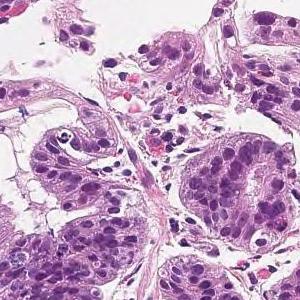
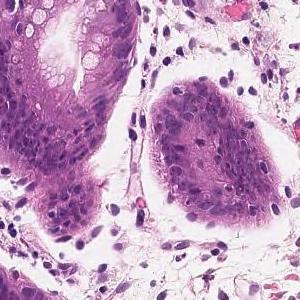
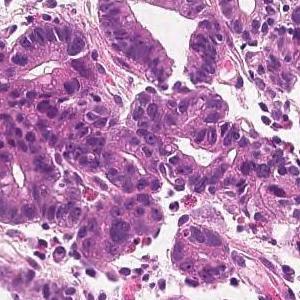
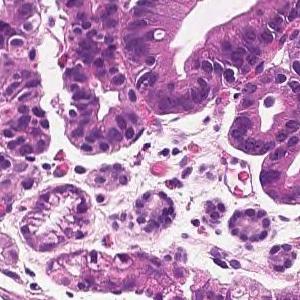
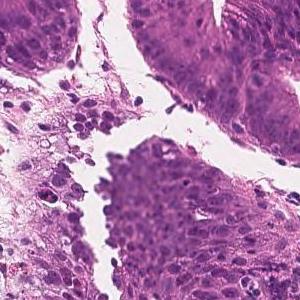
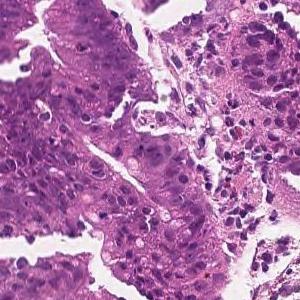
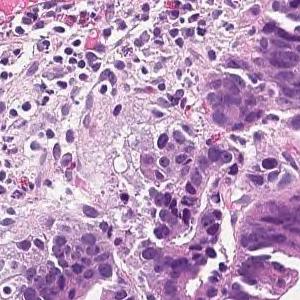
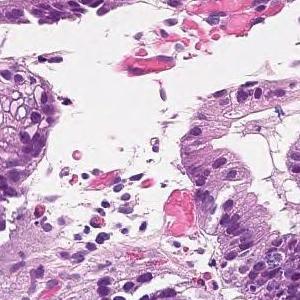
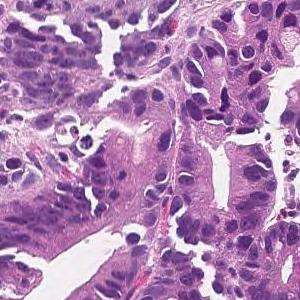
Scanned at ×20 · hematoxylin and eosin stain · 9 image tiles from a single gastric biopsy slide · 300×300 px each.
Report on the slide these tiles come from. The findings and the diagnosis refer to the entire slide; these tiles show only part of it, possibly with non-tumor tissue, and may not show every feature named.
From the superficial epithelium to the muscularis mucosae, tumor tissue consisting of medium-sized and irregular glandular ducts infiltrating is observed. Well differentiated tubular adenocarcinoma
